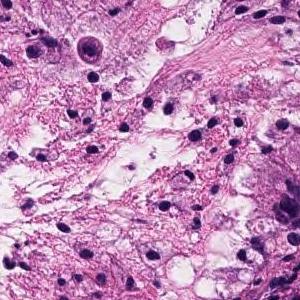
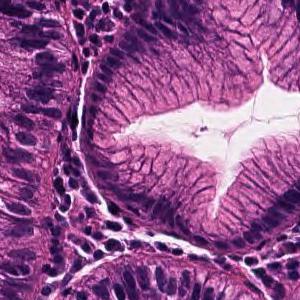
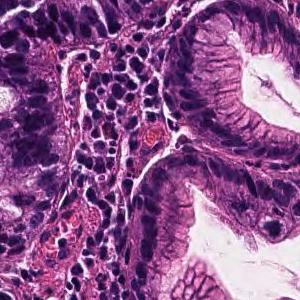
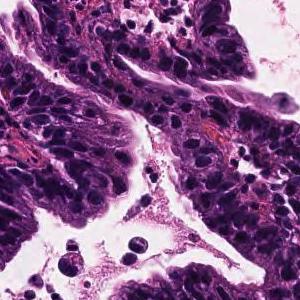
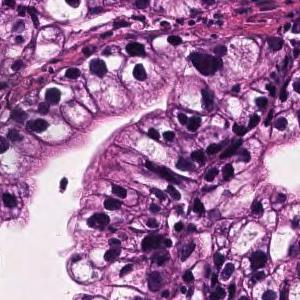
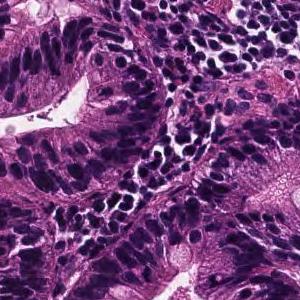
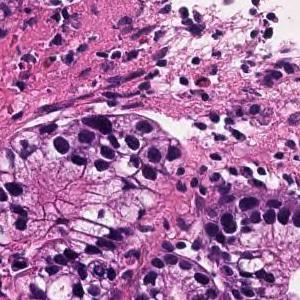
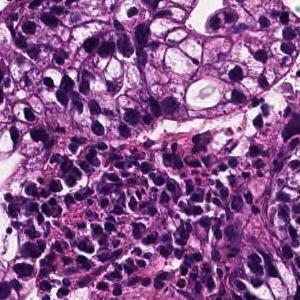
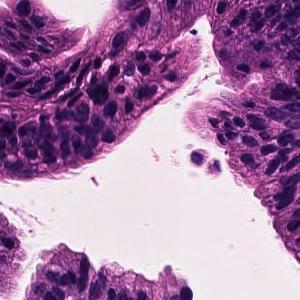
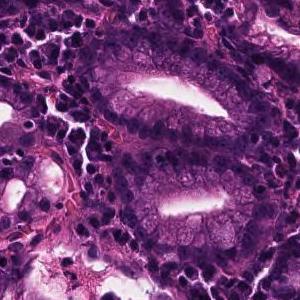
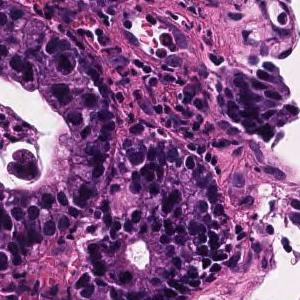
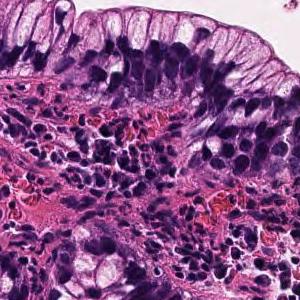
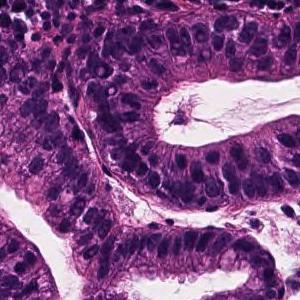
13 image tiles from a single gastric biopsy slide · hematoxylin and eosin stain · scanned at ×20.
Pathology report for the slide these tiles were cut from. What the report and the diagnosis say applies to the whole slide; these tiles may miss some of the features named and may include tissue that is not tumor.
Tumor cells are large, highly columnar, large club-shaped nuclei, and are associated with chromatin aggregation. Papillary adenocarcinoma.
